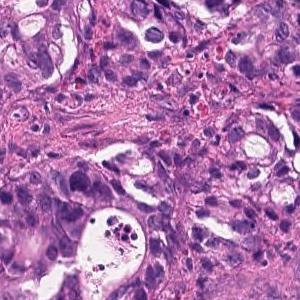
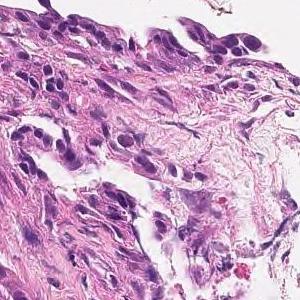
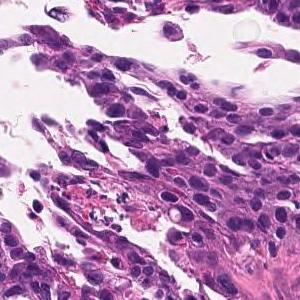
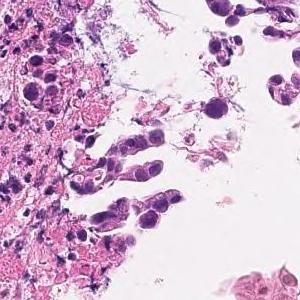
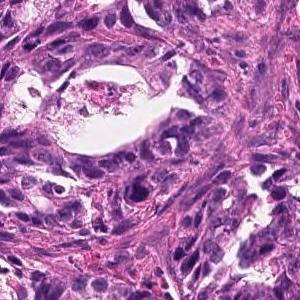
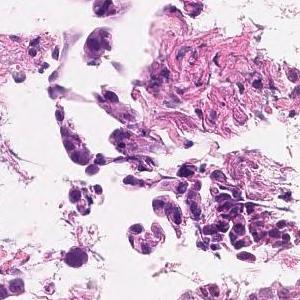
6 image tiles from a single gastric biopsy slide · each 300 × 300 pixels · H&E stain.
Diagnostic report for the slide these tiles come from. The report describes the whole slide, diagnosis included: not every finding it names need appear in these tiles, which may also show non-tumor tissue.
On the superficial epithelium, tumor tissue consisting of images of small to medium-sized and irregular tubules infiltrating with irregular fusion is observed. moderately differentiated tubular adenocarcinoma
